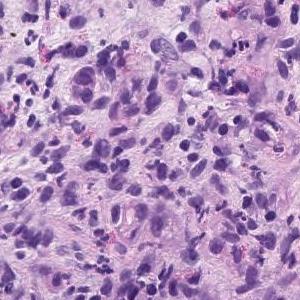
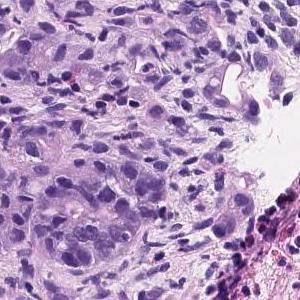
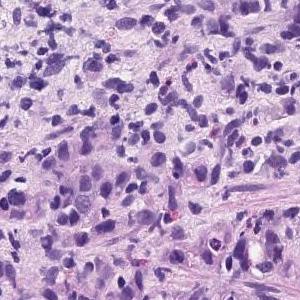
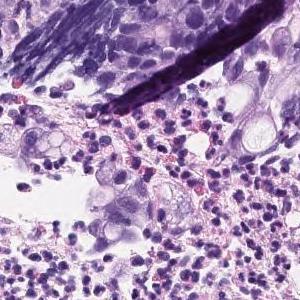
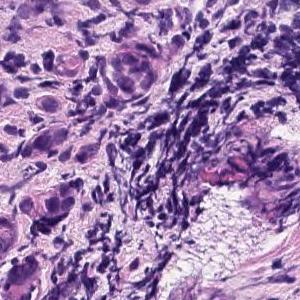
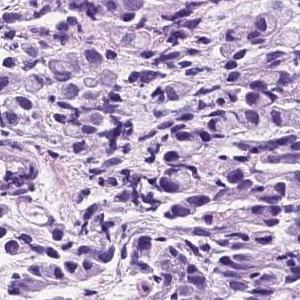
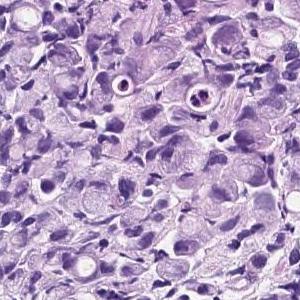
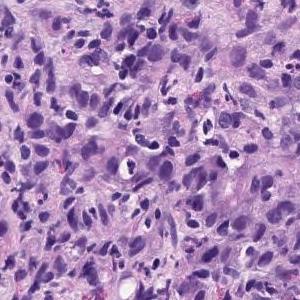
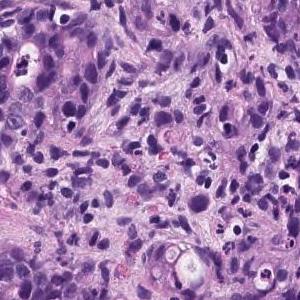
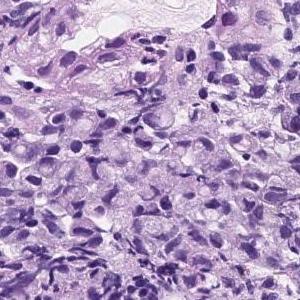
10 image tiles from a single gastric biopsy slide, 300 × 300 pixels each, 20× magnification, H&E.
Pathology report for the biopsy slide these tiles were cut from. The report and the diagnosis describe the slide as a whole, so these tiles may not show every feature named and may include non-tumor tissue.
Diffusely growing signet-ring cells are found in the lamina propria. Signet ring cell carcinoma.
